×20 · 8 tiles cut from one stomach biopsy slide.
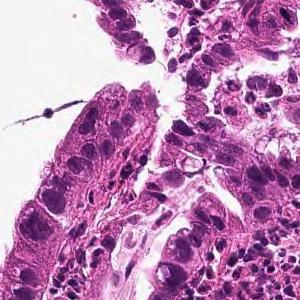
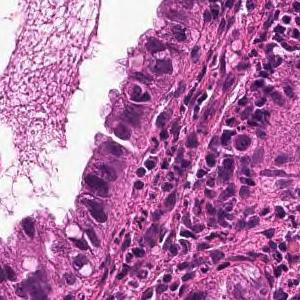
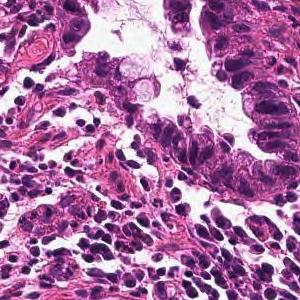
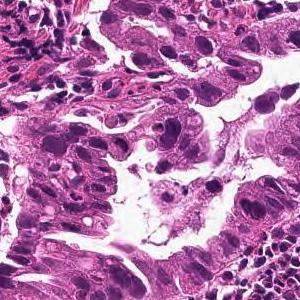
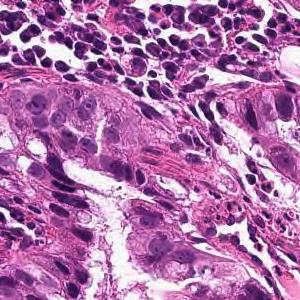
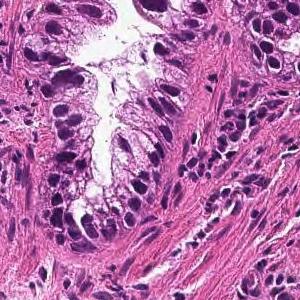
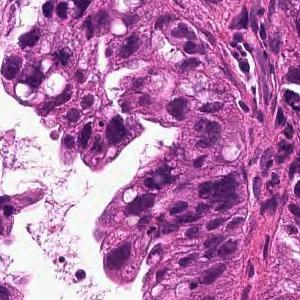
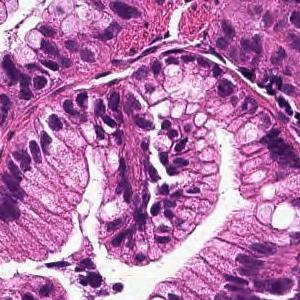
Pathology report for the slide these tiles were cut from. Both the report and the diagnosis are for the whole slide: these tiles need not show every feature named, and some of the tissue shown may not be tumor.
From the superficial epithelium to the muscularis mucosae, tumor tissue infiltrating by forming medium-sized irregular gland ducts is observed. Well differentiated tubular adenocarcinoma
